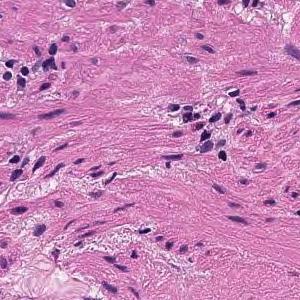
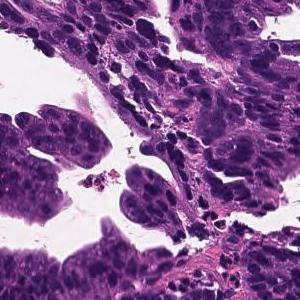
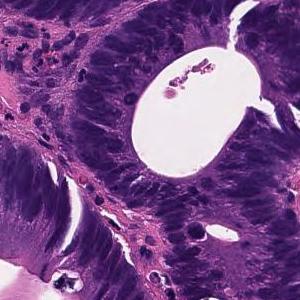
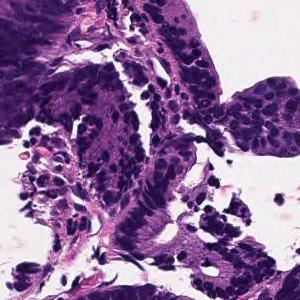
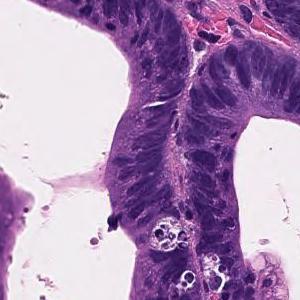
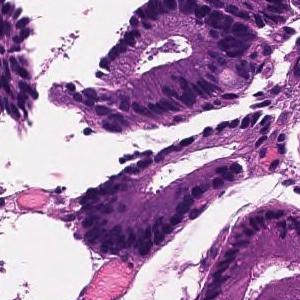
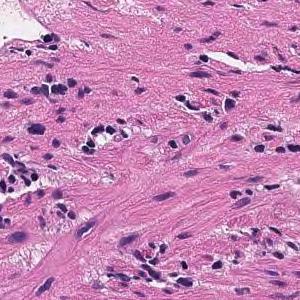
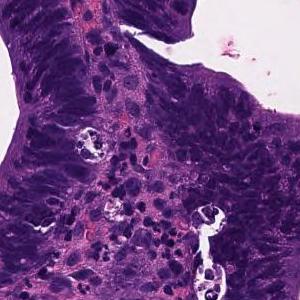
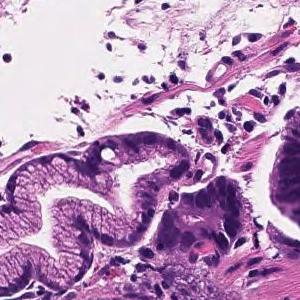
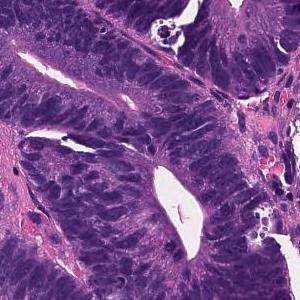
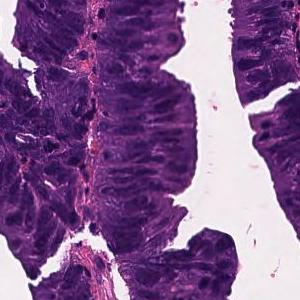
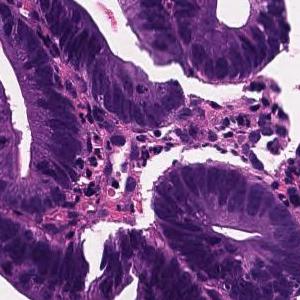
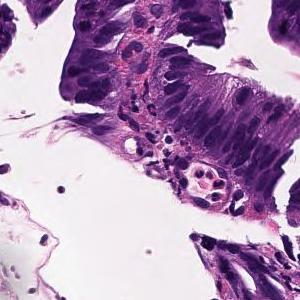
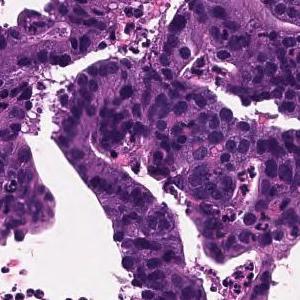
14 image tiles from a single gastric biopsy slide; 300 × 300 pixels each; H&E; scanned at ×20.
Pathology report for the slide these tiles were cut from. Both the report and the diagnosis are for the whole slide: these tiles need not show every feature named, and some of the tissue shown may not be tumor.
Tumor tissue consisting of large papillary structures is found in the superficial epithelium. Papillary adenocarcinoma.
